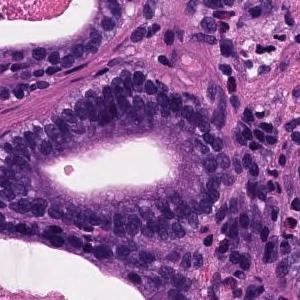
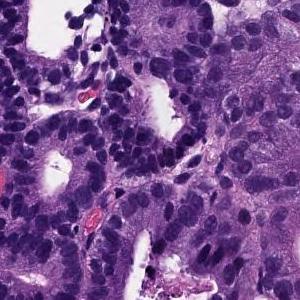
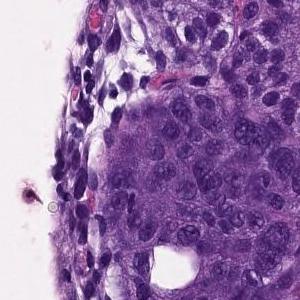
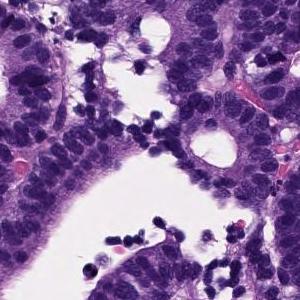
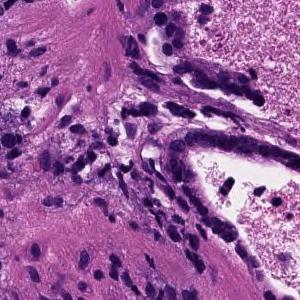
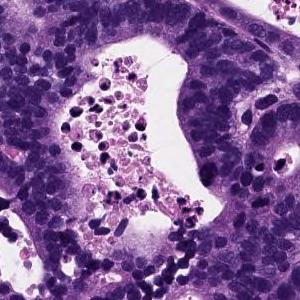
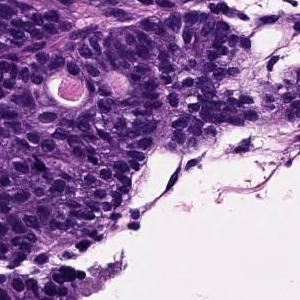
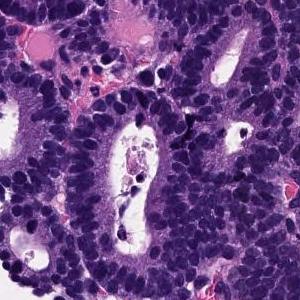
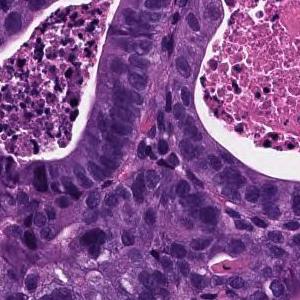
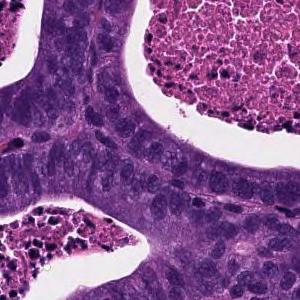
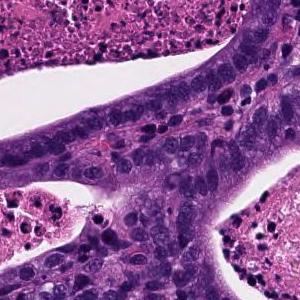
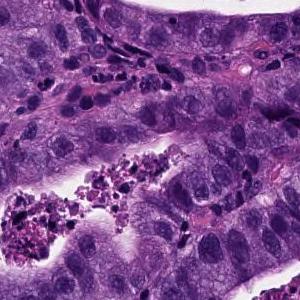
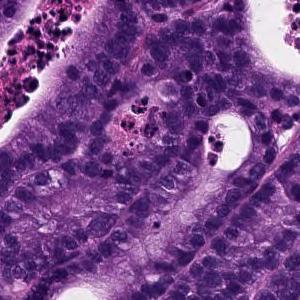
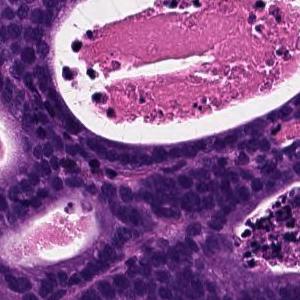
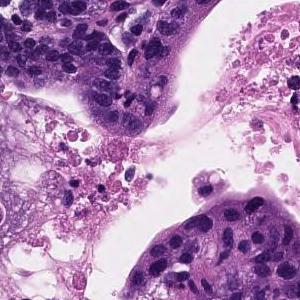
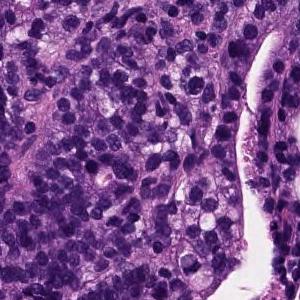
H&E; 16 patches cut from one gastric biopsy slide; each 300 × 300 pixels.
Diagnostic report for the slide these tiles come from. The report and the diagnosis describe the slide as a whole, so these tiles may not show every feature named and may include non-tumor tissue.
From the superficial epithelium to the muscularis mucosae, tumor tissue consisting of medium-sized and irregular glandular ducts infiltrating is observed. Well differentiated tubular adenocarcinoma
